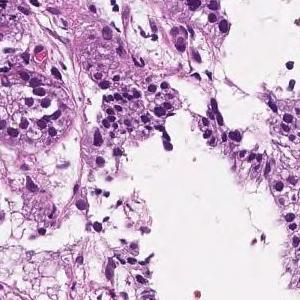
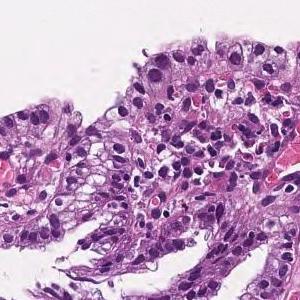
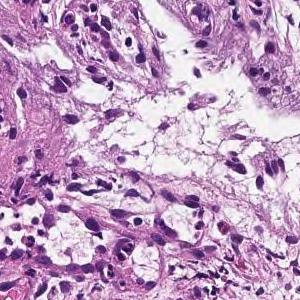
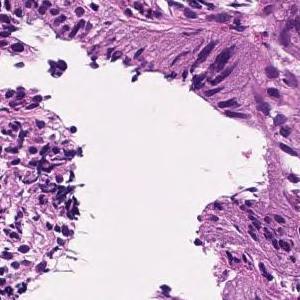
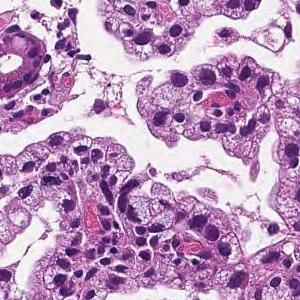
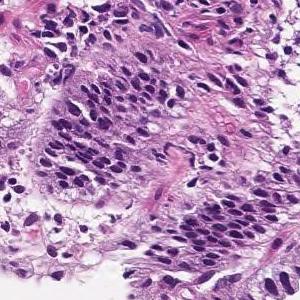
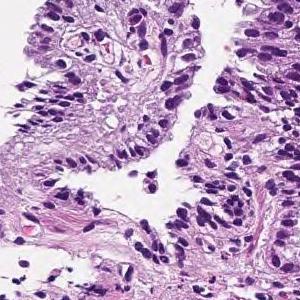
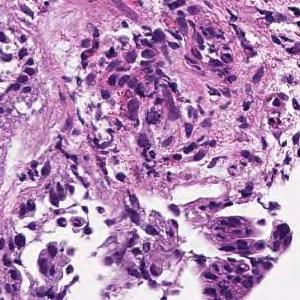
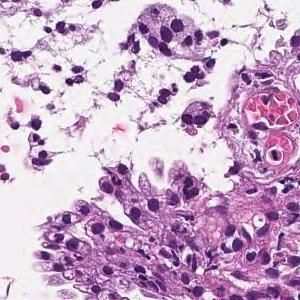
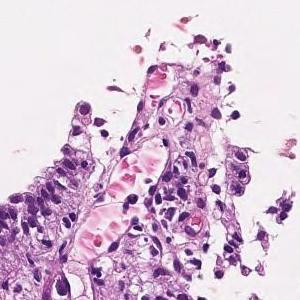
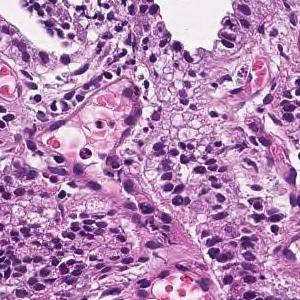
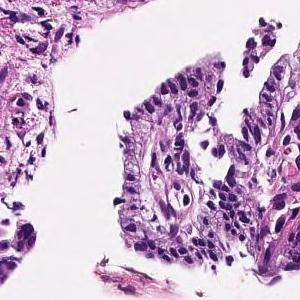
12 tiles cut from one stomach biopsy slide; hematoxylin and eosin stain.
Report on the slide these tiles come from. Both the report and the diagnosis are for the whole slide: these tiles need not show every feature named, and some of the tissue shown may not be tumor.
On the superficial epithelium, tumor tissue that infiltrates by forming medium-sized papillary or small irregular ducts is observed. Papillary adenocarcinoma
